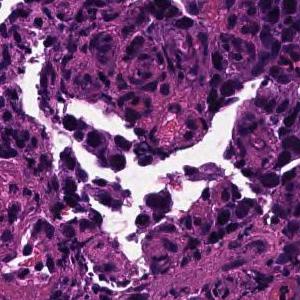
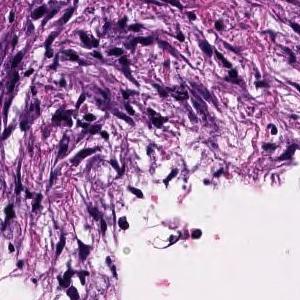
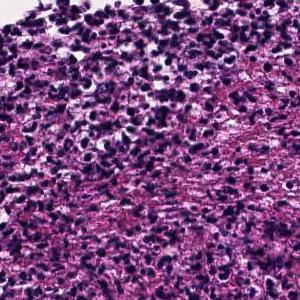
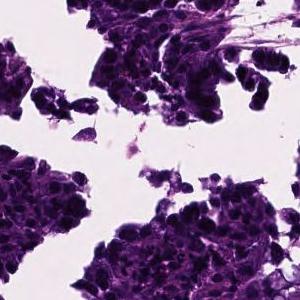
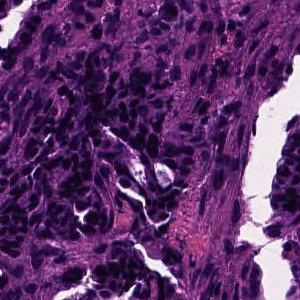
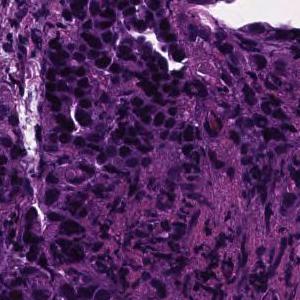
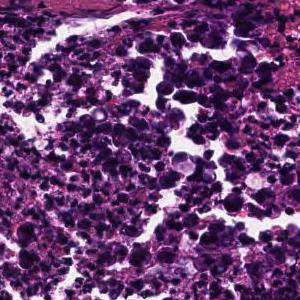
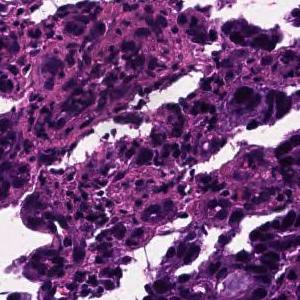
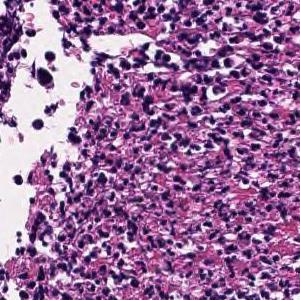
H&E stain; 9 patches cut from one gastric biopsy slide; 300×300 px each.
Diagnostic report for the slide these tiles come from. The report describes the whole slide, diagnosis included: not every finding it names need appear in these tiles, which may also show non-tumor tissue.
In the superficial epithelium, tumor tissue that invades by forming medium-sized to small, irregular ducts is observed. moderately differentiated tubular adenocarcinoma.
